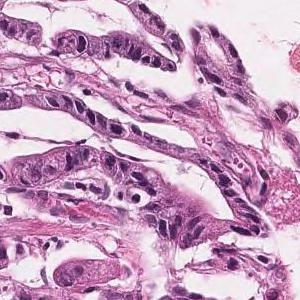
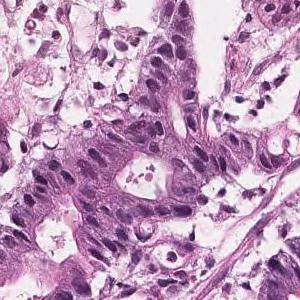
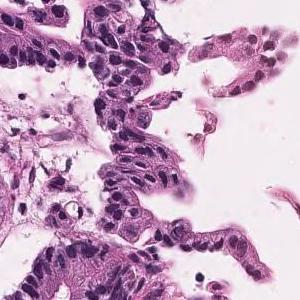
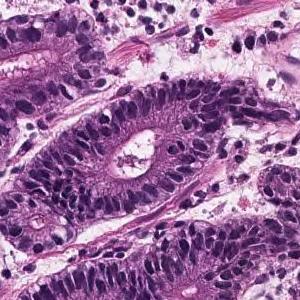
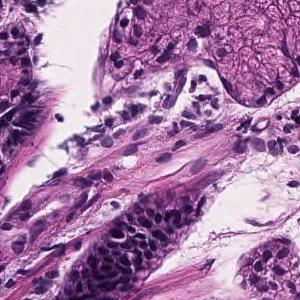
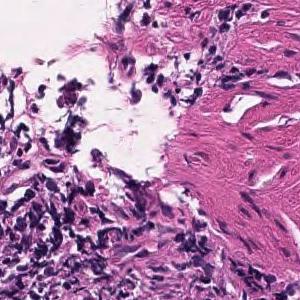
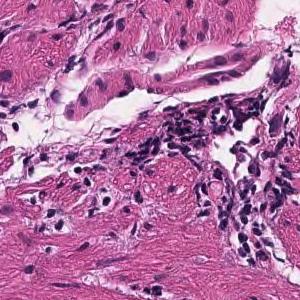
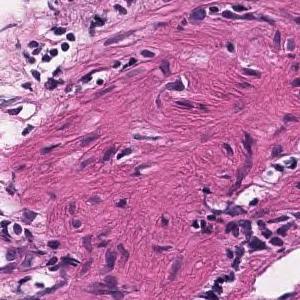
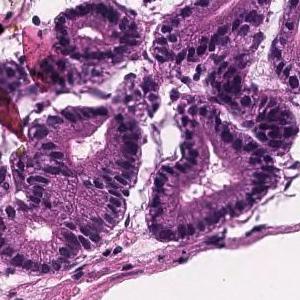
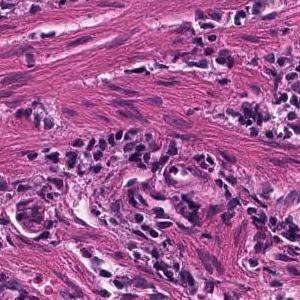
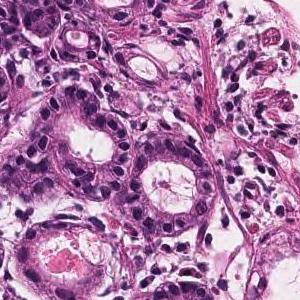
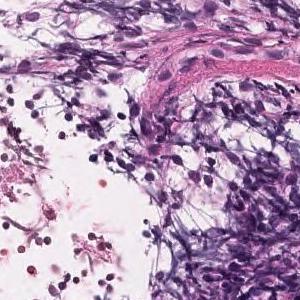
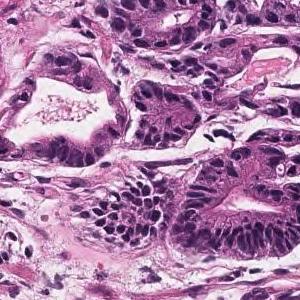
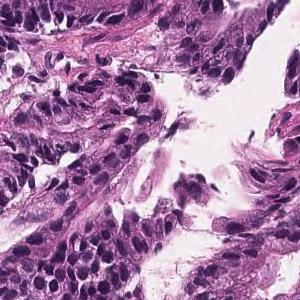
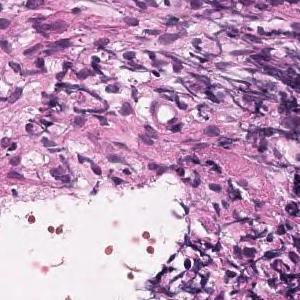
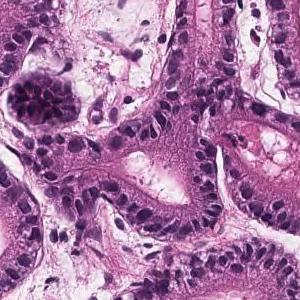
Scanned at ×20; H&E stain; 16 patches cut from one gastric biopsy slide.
Pathology report for the biopsy slide these tiles were cut from. What the report and the diagnosis say applies to the whole slide; these tiles may miss some of the features named and may include tissue that is not tumor.
Tumor tissue with atypical epithelium showing irregular ductal or sieving ductal structure and proliferating is observed. Well to moderately differentiated tubular adenocarcinoma (well differentiated tubular adenocarcinoma-moderately differentiated tubular adenocarcinoma)
Tumor subtype: well to moderately differentiated tubular adenocarcinoma.
